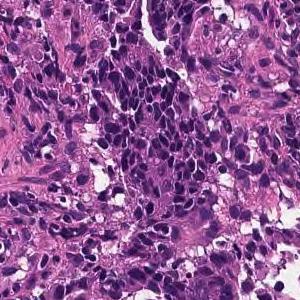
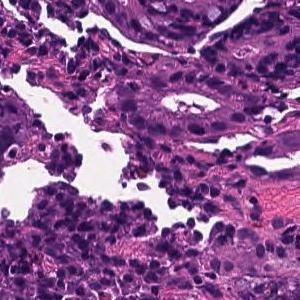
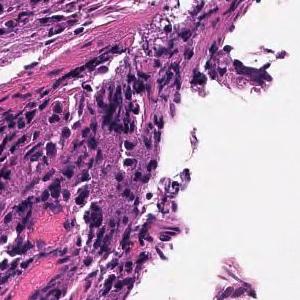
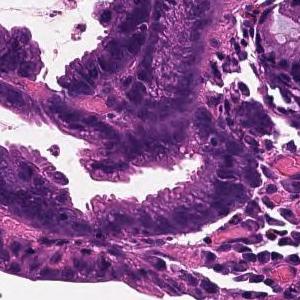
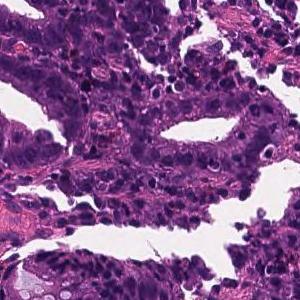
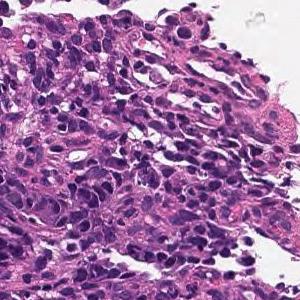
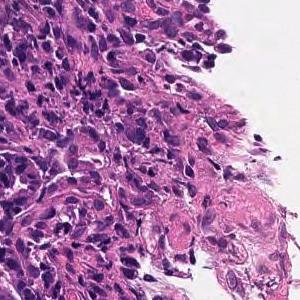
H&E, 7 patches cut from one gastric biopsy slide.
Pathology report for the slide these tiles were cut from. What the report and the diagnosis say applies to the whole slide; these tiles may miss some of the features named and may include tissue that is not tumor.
Medium to small, irregular glandular ducts are formed in the superficial epithelium, and some tumor tissues show small cords and infiltrate. moderately differentiated tubular adenocarcinoma or Poorly differentiated adenocarcinoma, non-solid type
Dataset label: moderately differentiated tubular adenocarcinoma.
The term "non-solid type" comes from the Japanese Classification of Gastric Carcinoma.
